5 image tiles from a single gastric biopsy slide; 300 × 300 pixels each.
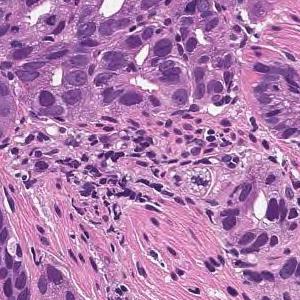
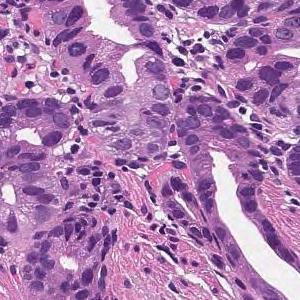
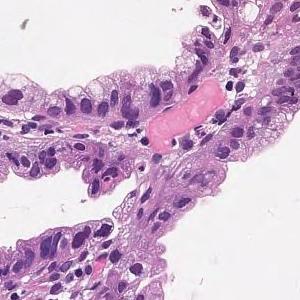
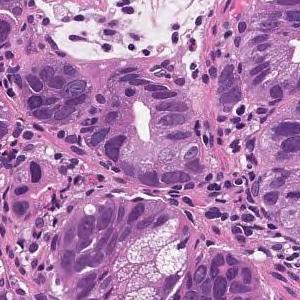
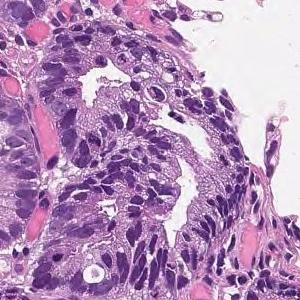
Report on the slide these tiles come from. The report and the diagnosis cover the entire slide, so not every feature they name need be visible here, and some tissue shown may not be tumor.
On the superficial epithelium, tumor tissue consisting of large irregular glandular ducts partially fused and infiltrated is observed. Well to moderately differentiated tubular adenocarcinoma (well differentiated tubular adenocarcinoma, moderately differentiated tubular adenocarcinoma)
Subtype: Well to moderately differentiated tubular adenocarcinoma.
